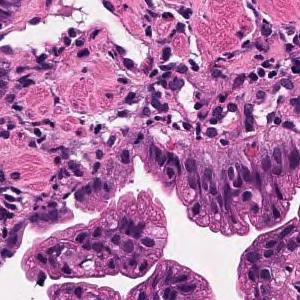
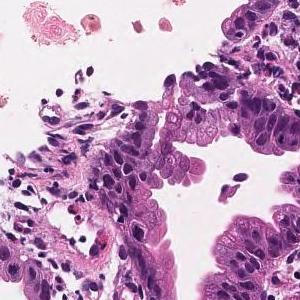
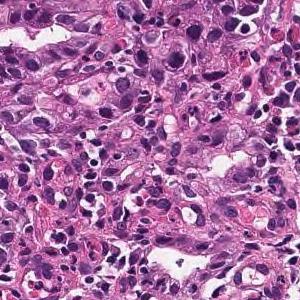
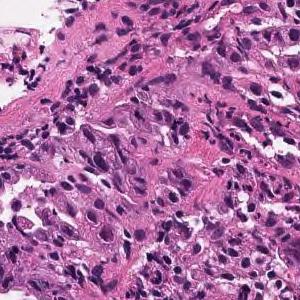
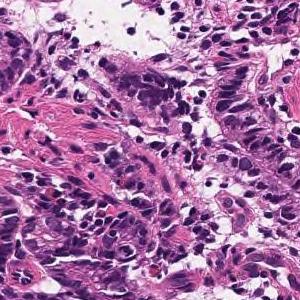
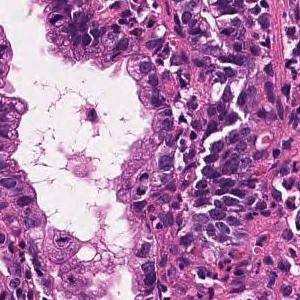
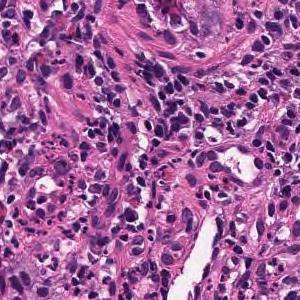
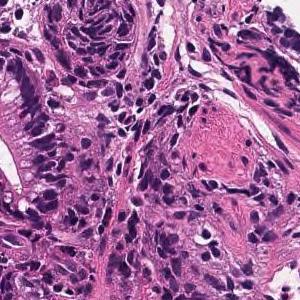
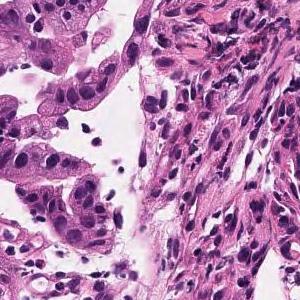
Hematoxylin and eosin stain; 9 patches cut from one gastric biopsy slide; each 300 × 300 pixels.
Pathology report for the slide these tiles were cut from. The report describes the whole slide, diagnosis included: not every finding it names need appear in these tiles, which may also show non-tumor tissue.
Tumor tissue in which medium to small irregular ducts infiltrate and proliferate in the submucosa can be seen in the epithelium. Well differentiated tubular adenocarcinoma
